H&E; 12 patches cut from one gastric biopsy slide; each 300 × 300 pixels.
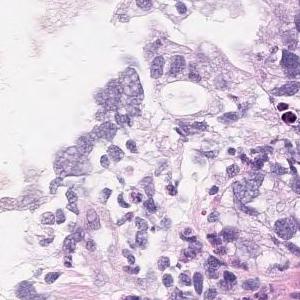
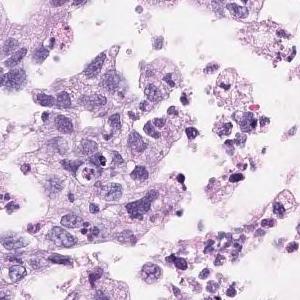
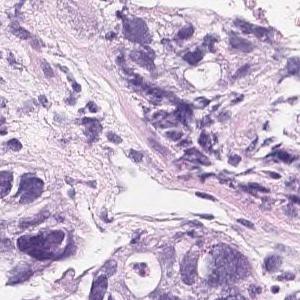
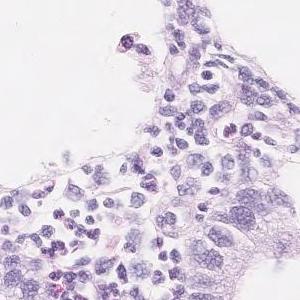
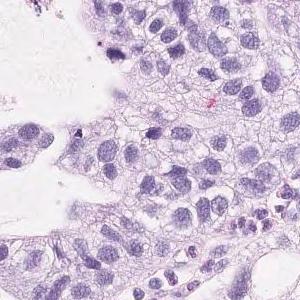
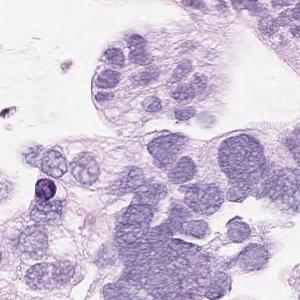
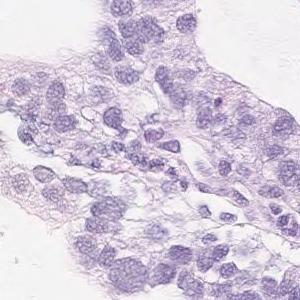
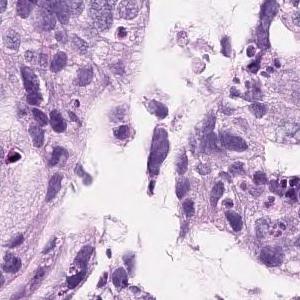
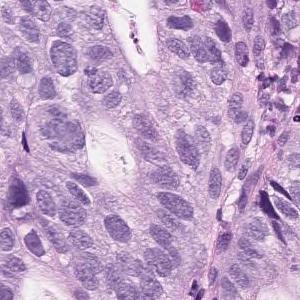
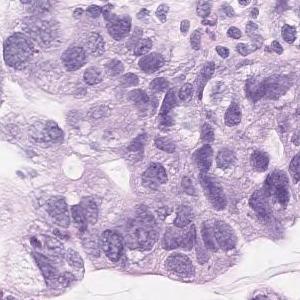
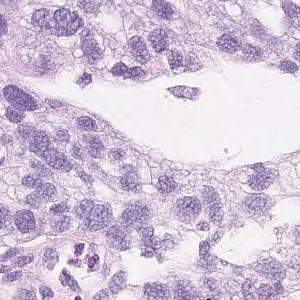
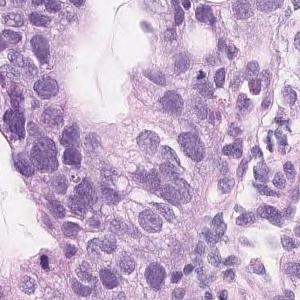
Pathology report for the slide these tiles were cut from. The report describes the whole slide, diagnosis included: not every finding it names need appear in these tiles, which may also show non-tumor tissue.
On the superficial epithelium, tumor tissue consisting of large, irregular glandular ducts partially fused and infiltrated is observed. Well to moderately differentiated tubular adenocarcinoma (well differentiated tubular adenocarcinoma, moderately differentiated tubular adenocarcinoma)
Classified as well to moderately differentiated tubular adenocarcinoma.
